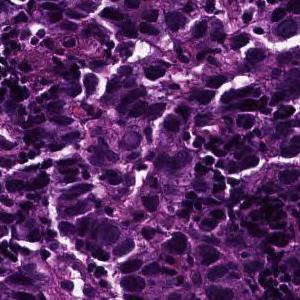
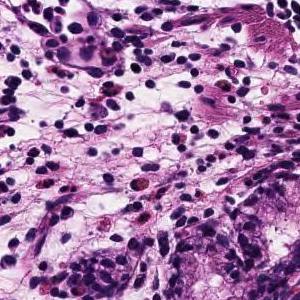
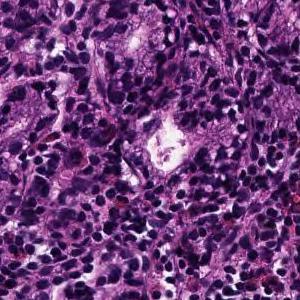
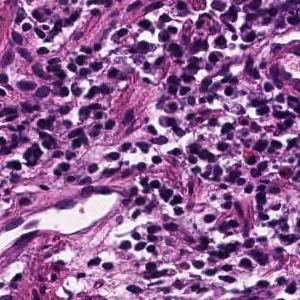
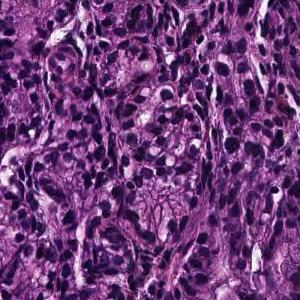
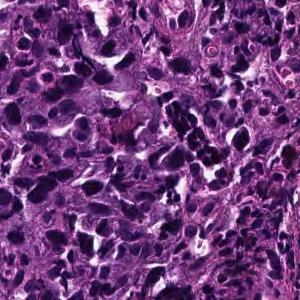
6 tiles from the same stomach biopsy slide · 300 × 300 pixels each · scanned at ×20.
Pathology report for the slide these tiles were cut from. The report and the diagnosis cover the entire slide, so not every feature they name need be visible here, and some tissue shown may not be tumor.
The superficial epithelium shows a large sheet-like shape, and some tumor tissues infiltrate with a small cord-like structure. Poorly differentiated adenocarcinoma, solid type (poorly differentiated adenocarcinoma, solid type)
Classified as poorly differentiated adenocarcinoma, solid type, a category of the Japanese Classification of Gastric Carcinoma; in the WHO 2019 classification it is tubular adenocarcinoma, poorly differentiated.
